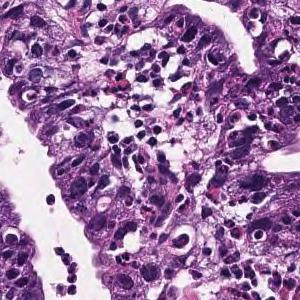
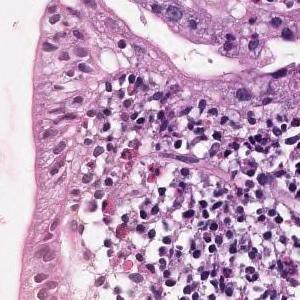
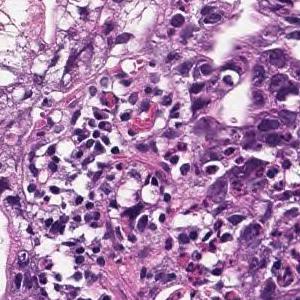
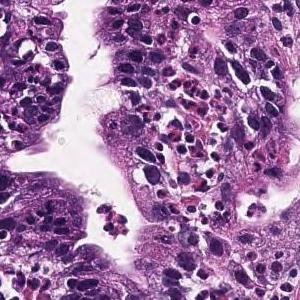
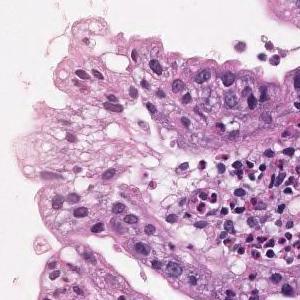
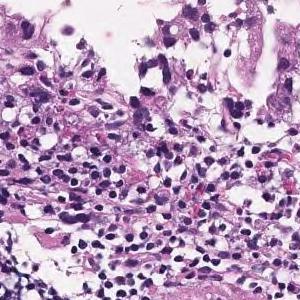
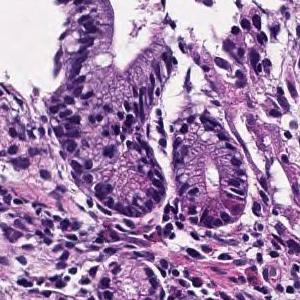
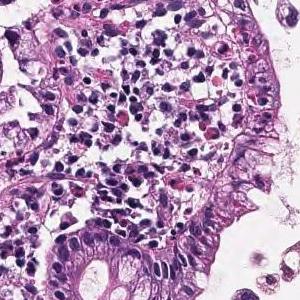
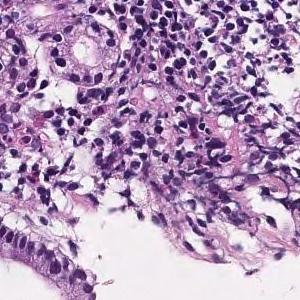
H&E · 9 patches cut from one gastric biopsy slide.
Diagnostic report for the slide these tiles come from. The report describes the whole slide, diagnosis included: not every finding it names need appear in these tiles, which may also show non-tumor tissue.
In the superficial epithelium, tumor tissue that invades by forming medium-sized to small, irregular ducts is observed. moderately differentiated tubular adenocarcinoma.
